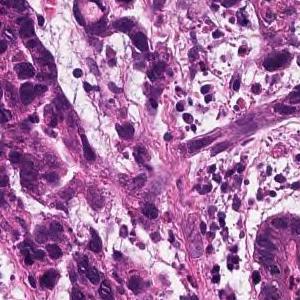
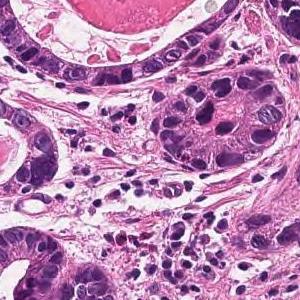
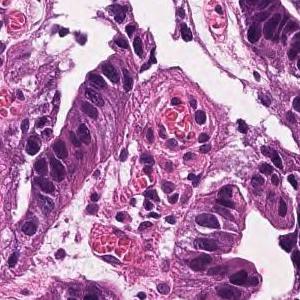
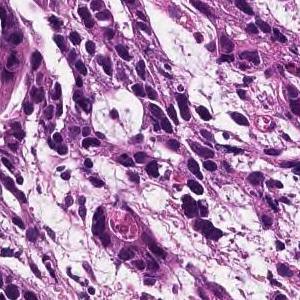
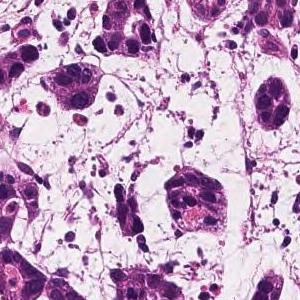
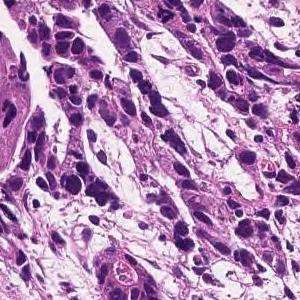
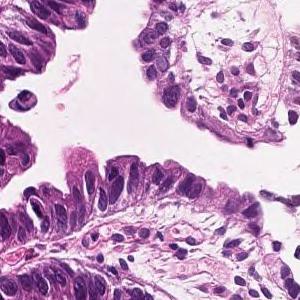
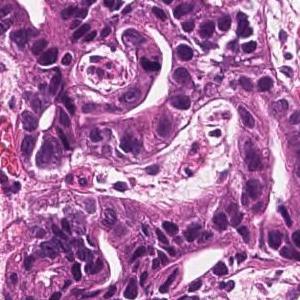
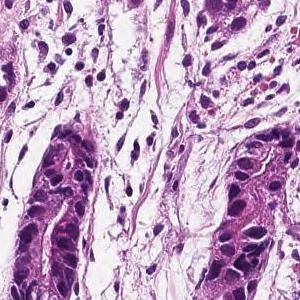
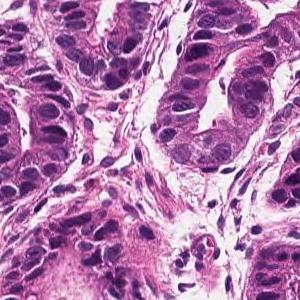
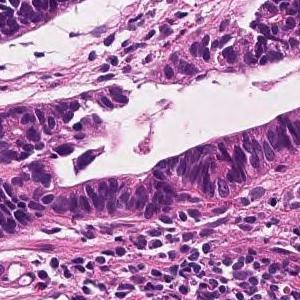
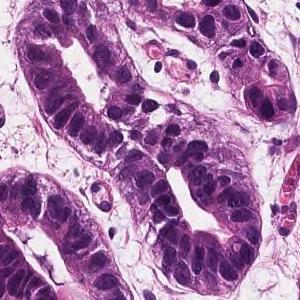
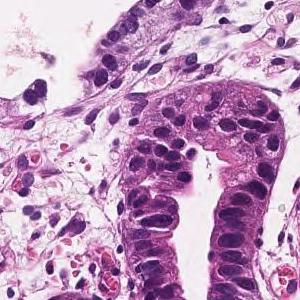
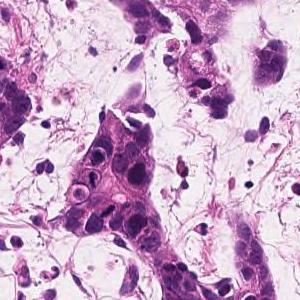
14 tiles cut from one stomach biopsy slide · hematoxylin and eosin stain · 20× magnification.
Pathology report for the biopsy slide these tiles were cut from. Both the report and the diagnosis are for the whole slide: these tiles need not show every feature named, and some of the tissue shown may not be tumor.
In the superficial epithelium, tumor tissue that invades by forming medium-sized to small, irregular ducts is observed. Well differentiated tubular adenocarcinoma.
